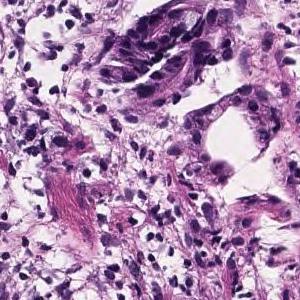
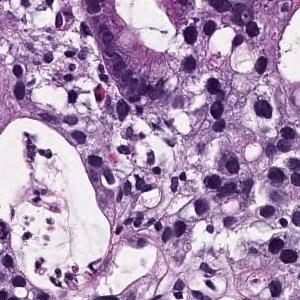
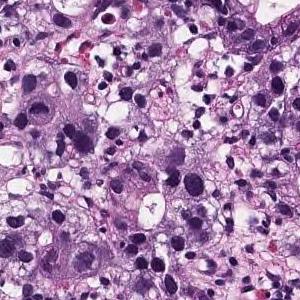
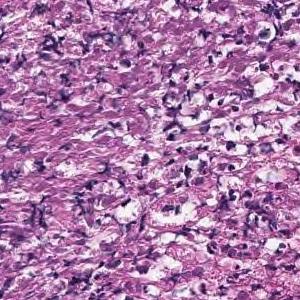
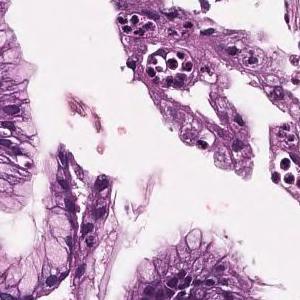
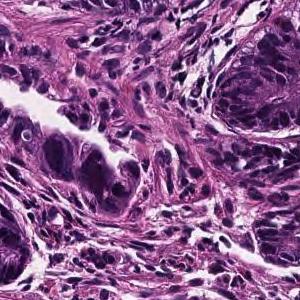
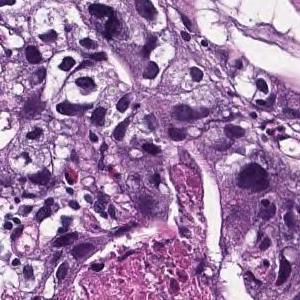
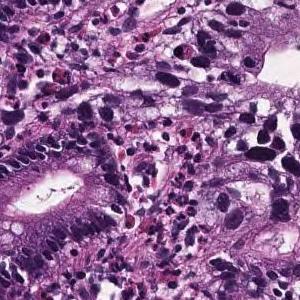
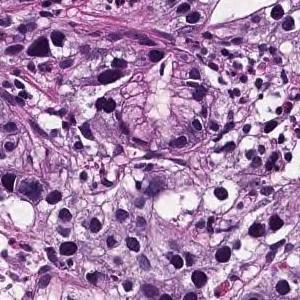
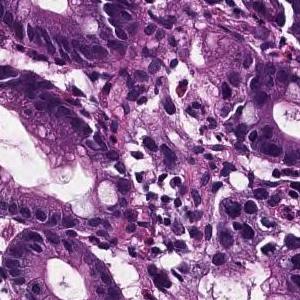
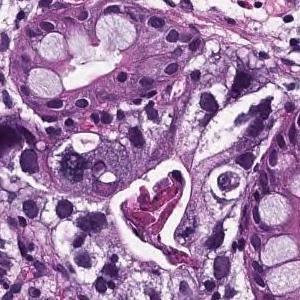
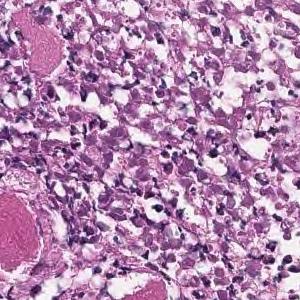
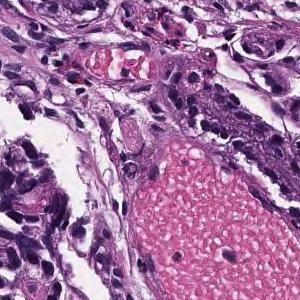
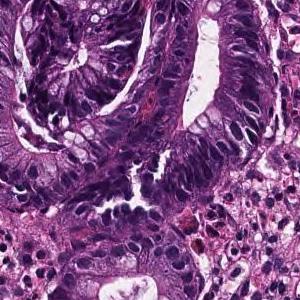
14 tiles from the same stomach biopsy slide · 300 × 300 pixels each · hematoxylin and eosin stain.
Pathology report for the slide these tiles were cut from. The findings and the diagnosis refer to the entire slide; these tiles show only part of it, possibly with non-tumor tissue, and may not show every feature named.
In the superficial epithelium, medium to small irregular gland ducts are formed, and in some cases, the ducts are fused to show solid alveolar lesions and infiltrating tumor tissue is observed. Moderately to poorly differentiated adenocarcinoma
